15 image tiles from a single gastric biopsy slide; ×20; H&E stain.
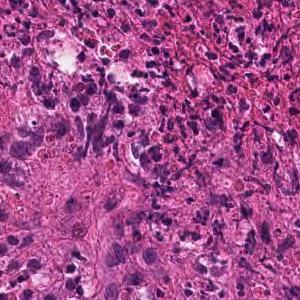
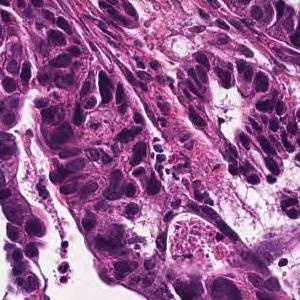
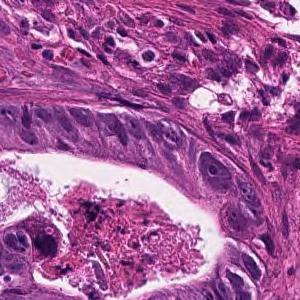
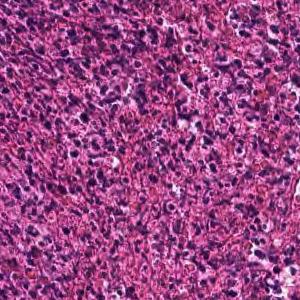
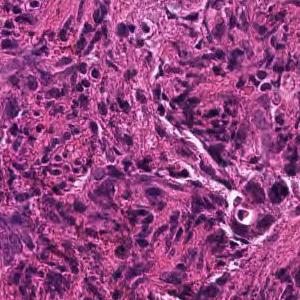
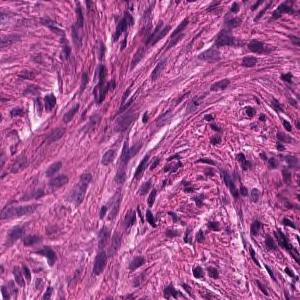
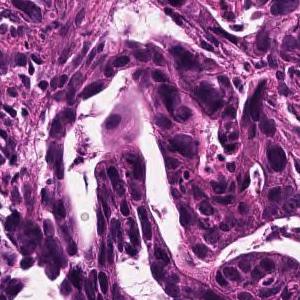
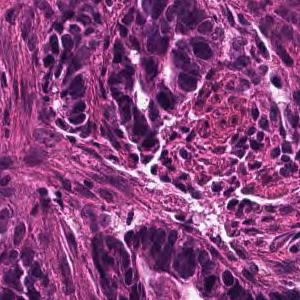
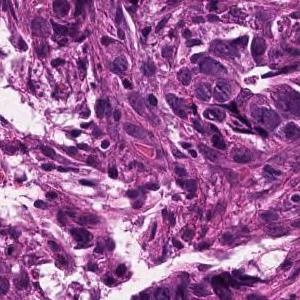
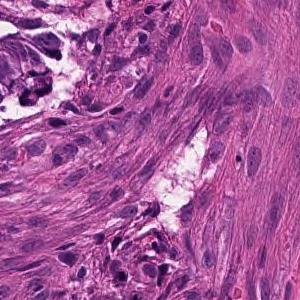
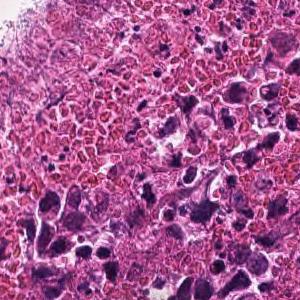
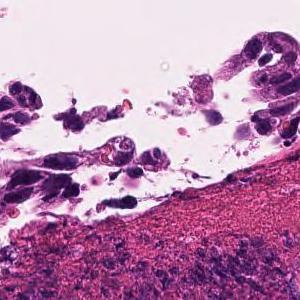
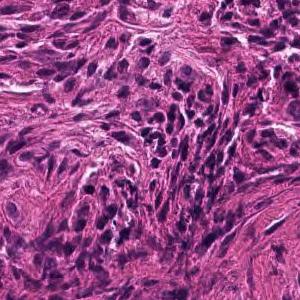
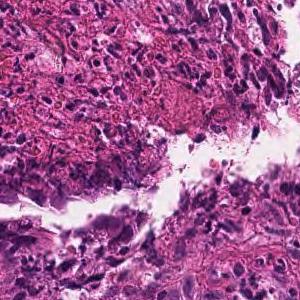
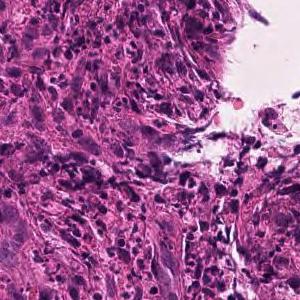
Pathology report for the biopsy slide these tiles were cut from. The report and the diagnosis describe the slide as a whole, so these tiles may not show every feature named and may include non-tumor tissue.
In the superficial epithelium, tumor tissue that invades by forming medium-sized to small, irregular ducts is observed. moderately differentiated tubular adenocarcinoma.
